H&E stain · 12 image tiles from a single gastric biopsy slide.
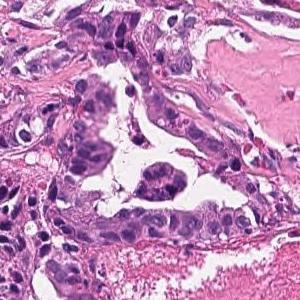
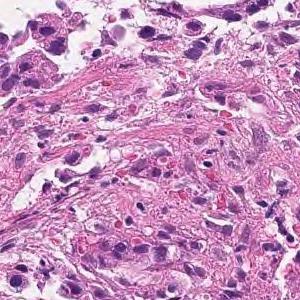
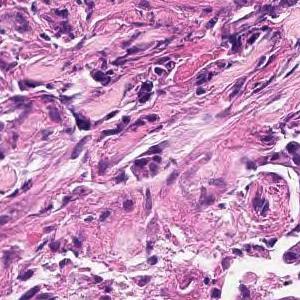
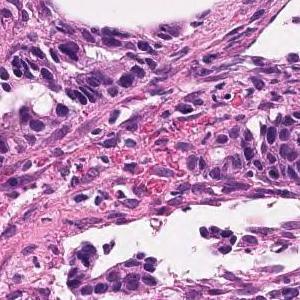
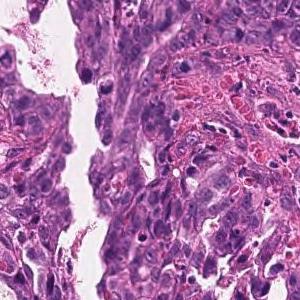
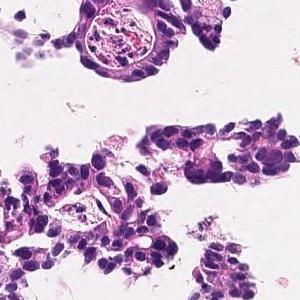
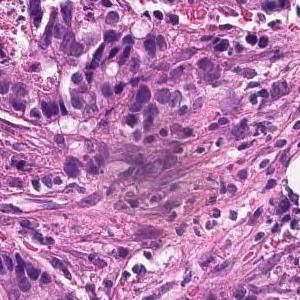
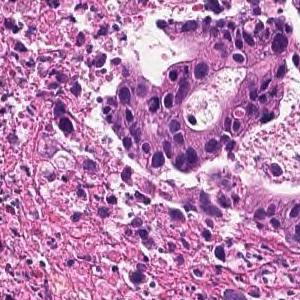
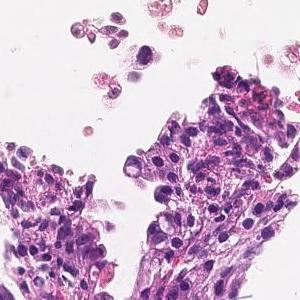
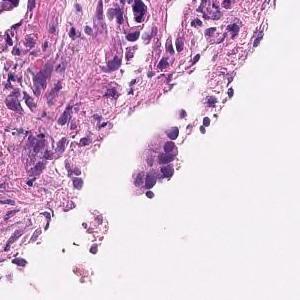
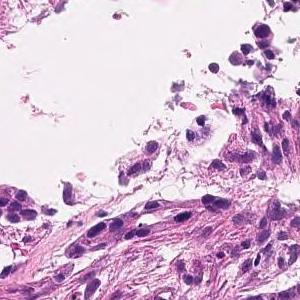
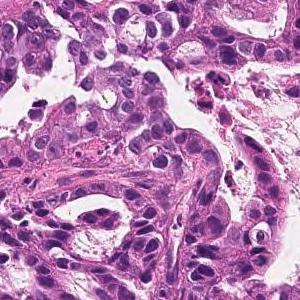
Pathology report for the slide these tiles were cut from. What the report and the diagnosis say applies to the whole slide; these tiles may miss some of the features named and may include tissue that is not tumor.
On the superficial epithelium, tumor tissue consisting of images of small to medium-sized and irregular tubules infiltrating with irregular fusion is observed. moderately differentiated tubular adenocarcinoma
